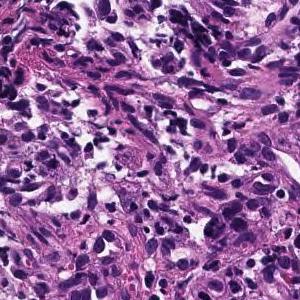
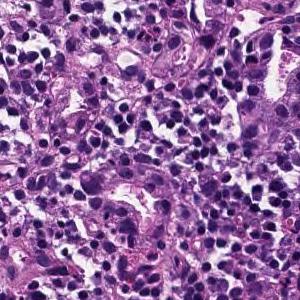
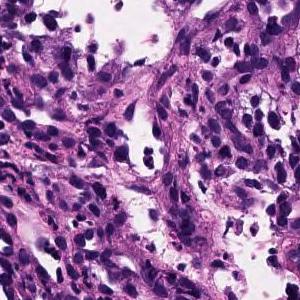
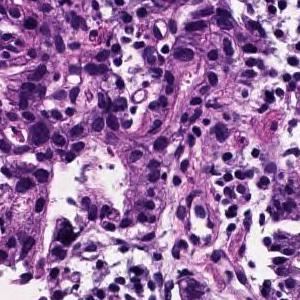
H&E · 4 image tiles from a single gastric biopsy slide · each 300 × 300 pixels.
Pathology report for the slide these tiles were cut from. Both the report and the diagnosis are for the whole slide: these tiles need not show every feature named, and some of the tissue shown may not be tumor.
Medium to small, irregular glandular ducts are formed in the superficial epithelium, and in some cases, the glandular ducts are fused to show solid alveolar lesions and infiltrating tumor tissue is observed. Moderately to poorly differentiated adenocarcinoma.
